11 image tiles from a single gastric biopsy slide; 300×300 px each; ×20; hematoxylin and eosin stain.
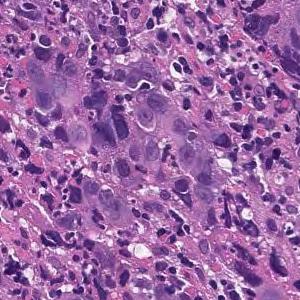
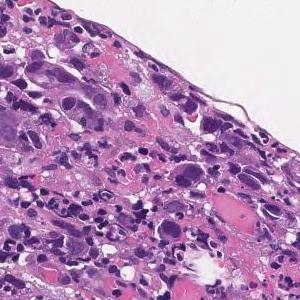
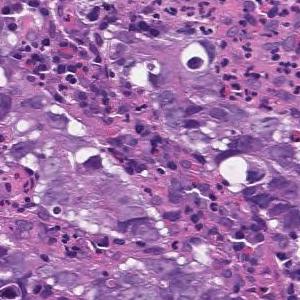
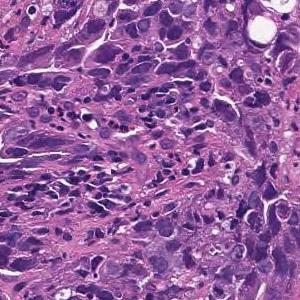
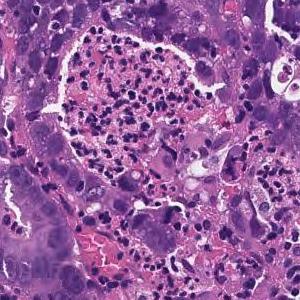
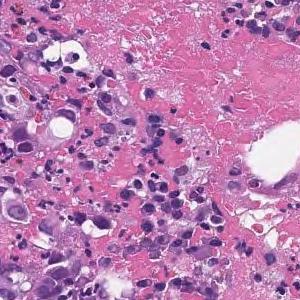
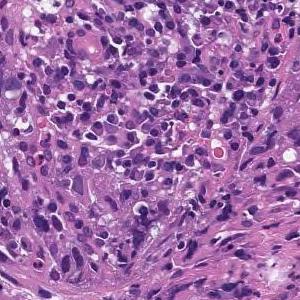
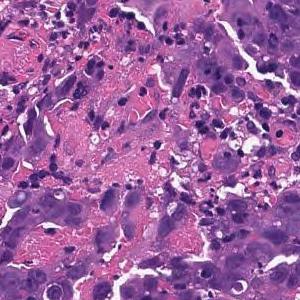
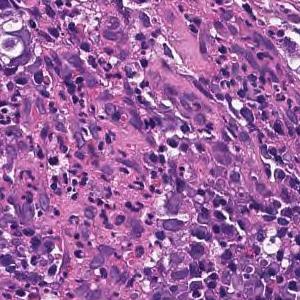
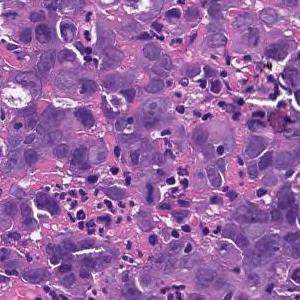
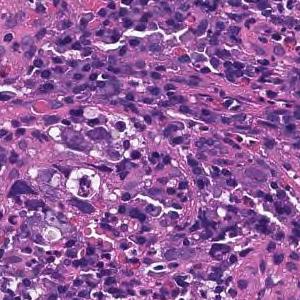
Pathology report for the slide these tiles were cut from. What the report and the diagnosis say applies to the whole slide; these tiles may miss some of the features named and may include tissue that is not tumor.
Tumor tissue consisting of cord-like or small, irregular glandular ducts fused and infiltrated is observed in the superficial epithelium. Poorly differentiated adenocarcinoma, non-solid type
The non-solid type named here is a Japanese Classification of Gastric Carcinoma category.
